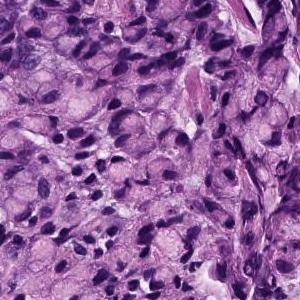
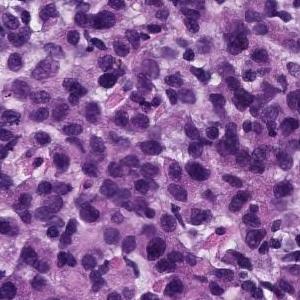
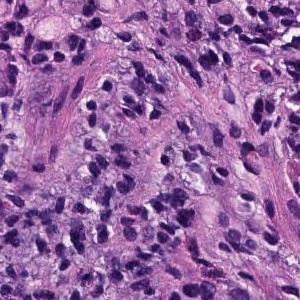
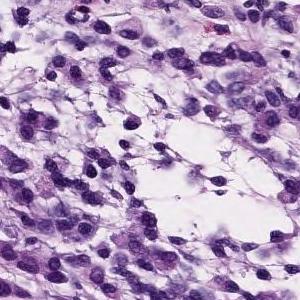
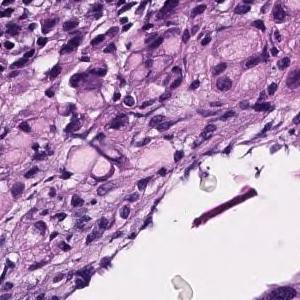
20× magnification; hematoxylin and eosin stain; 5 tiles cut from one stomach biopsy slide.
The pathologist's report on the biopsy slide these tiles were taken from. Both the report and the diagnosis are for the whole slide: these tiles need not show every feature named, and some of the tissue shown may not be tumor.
The superficial epithelium shows a large sheet-like shape, and some tumor tissue infiltrates with small irregular ducts. Poorly differentiated adenocarcinoma, solid-type
Subtype: Poorly differentiated adenocarcinoma, solid type. This name comes from the Japanese Classification of Gastric Carcinoma; the WHO 2019 classification calls it tubular adenocarcinoma, poorly differentiated.
